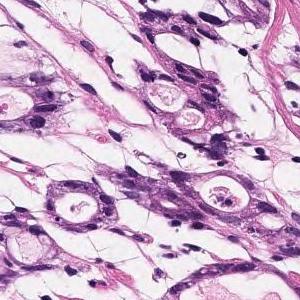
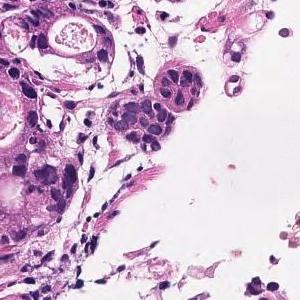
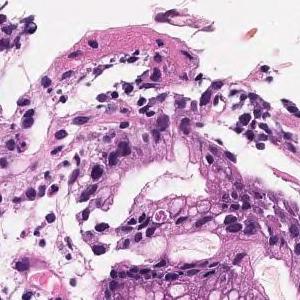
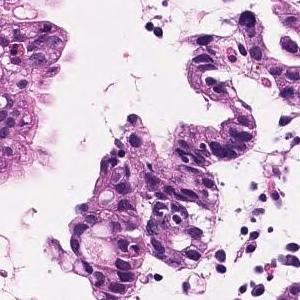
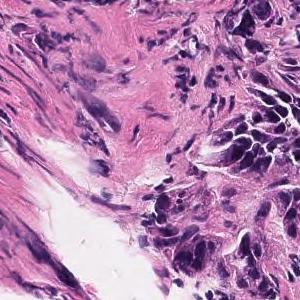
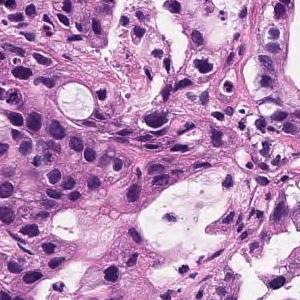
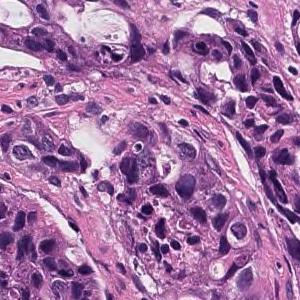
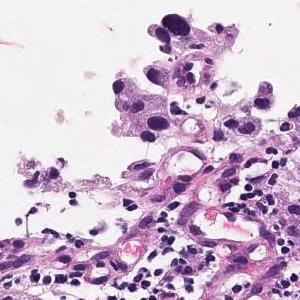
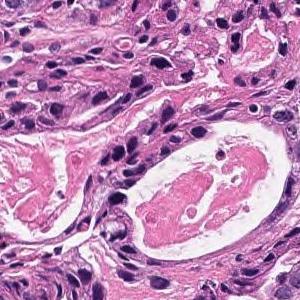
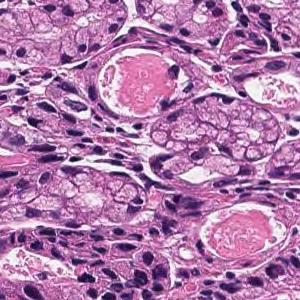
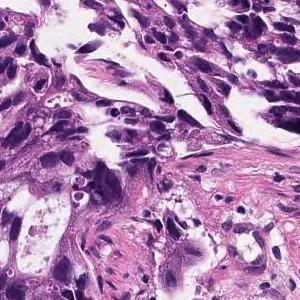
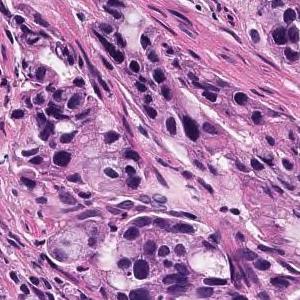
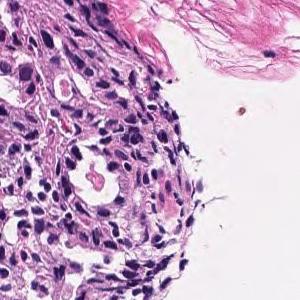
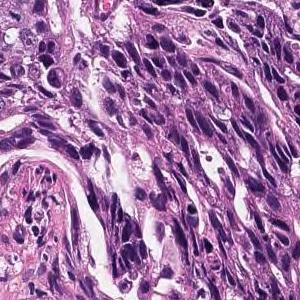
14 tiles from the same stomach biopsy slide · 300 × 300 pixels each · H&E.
Pathology report for the slide these tiles were cut from. The report describes the whole slide, diagnosis included: not every finding it names need appear in these tiles, which may also show non-tumor tissue.
In the superficial epithelium, tumor tissue that invades by forming medium-sized to small, irregular ducts is observed. Moderately differentiated adenocarcinoma.
Histologic type: Moderately differentiated tubular adenocarcinoma.
